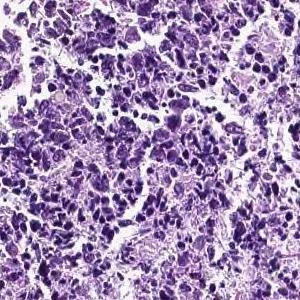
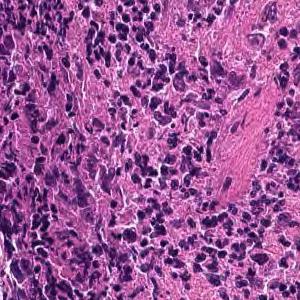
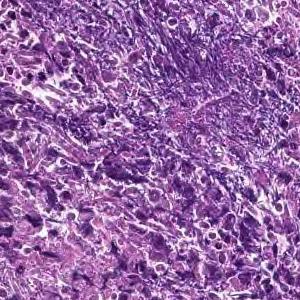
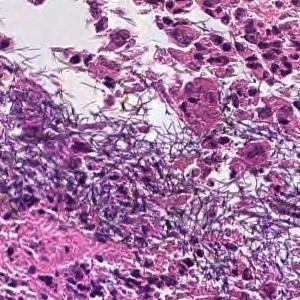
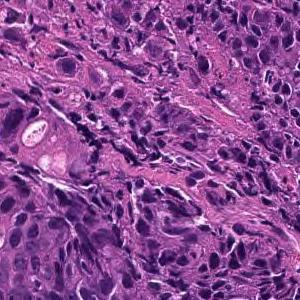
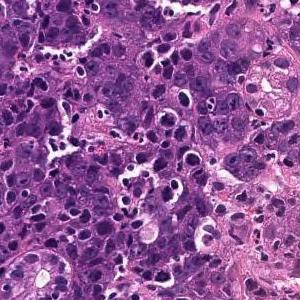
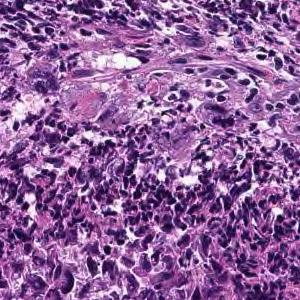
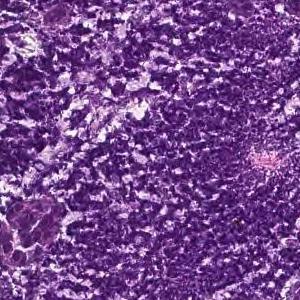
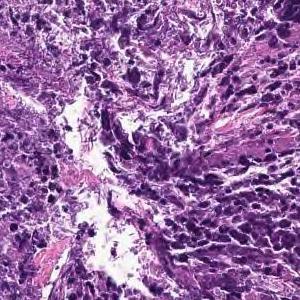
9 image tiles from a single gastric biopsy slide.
Pathology report for the biopsy slide these tiles were cut from. The findings and the diagnosis refer to the entire slide; these tiles show only part of it, possibly with non-tumor tissue, and may not show every feature named.
Cancers with polygonal nuclei do not show glandular formation and are densely, in part, cord-like and proliferate. Poorly differentiated adenocarcinoma
Subtype: Poorly differentiated adenocarcinoma, non-solid type.
"Non-solid type" is a category of the Japanese Classification of Gastric Carcinoma.
